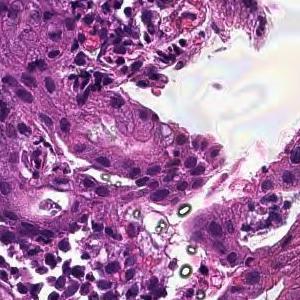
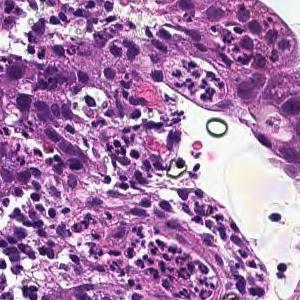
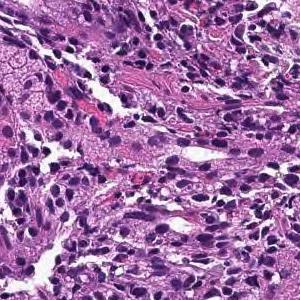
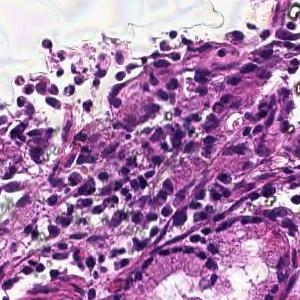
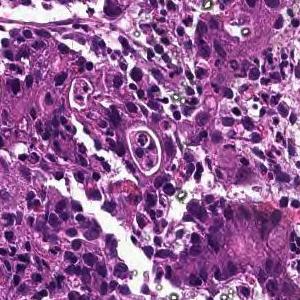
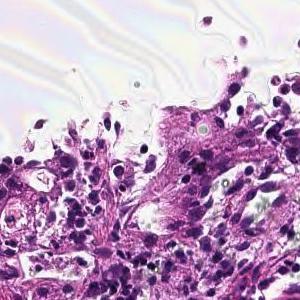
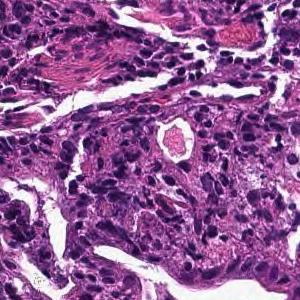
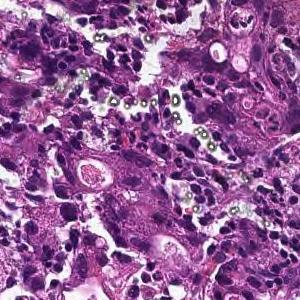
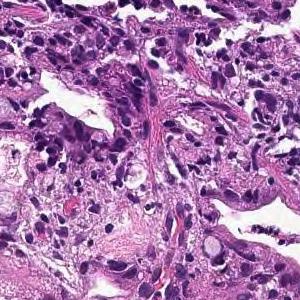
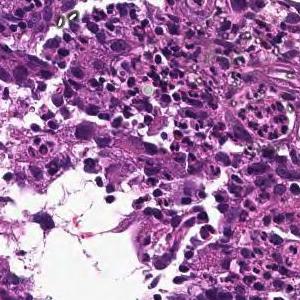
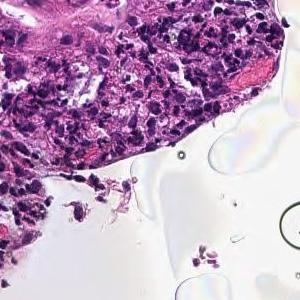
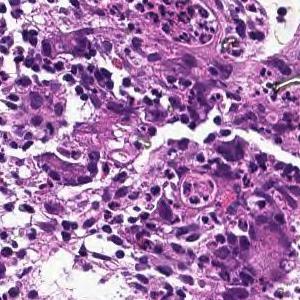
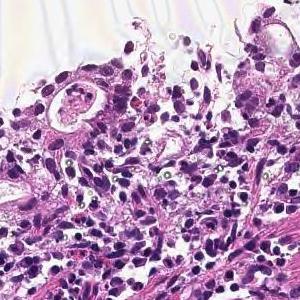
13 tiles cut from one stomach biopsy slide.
Pathology report for the slide these tiles were cut from. The report describes the whole slide, diagnosis included: not every finding it names need appear in these tiles, which may also show non-tumor tissue.
In the superficial epithelium, tumor tissue that invades by forming medium-sized to small, irregular ducts is observed. moderately differentiated tubular adenocarcinoma.
